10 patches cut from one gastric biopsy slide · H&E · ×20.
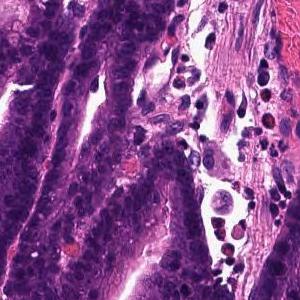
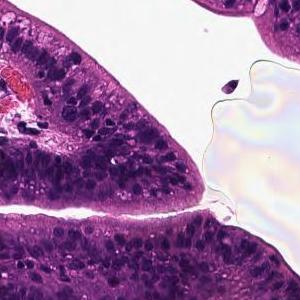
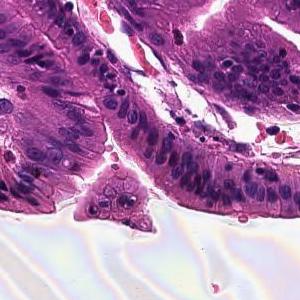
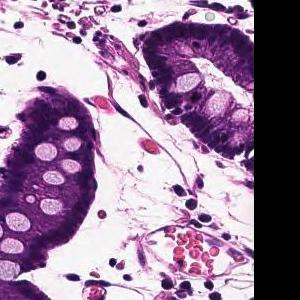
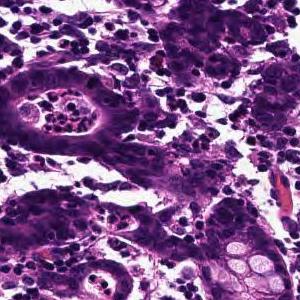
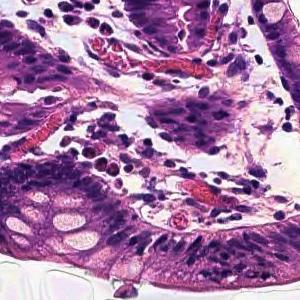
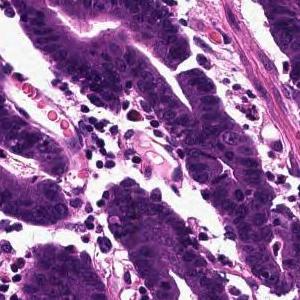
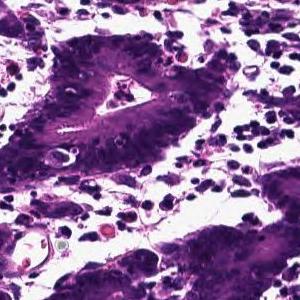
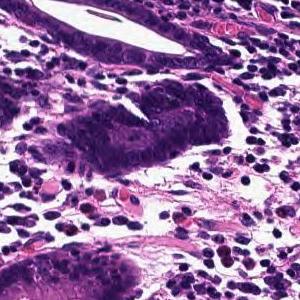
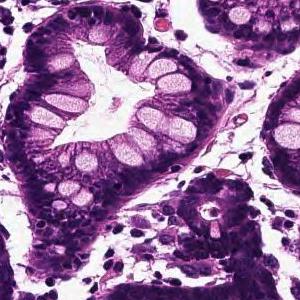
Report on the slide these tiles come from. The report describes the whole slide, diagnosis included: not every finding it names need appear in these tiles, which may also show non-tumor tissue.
Tumor tissue that infiltrates by forming large papillary or large irregular glandular ducts is observed confined to the mucosa. Papillary adenocarcinoma
